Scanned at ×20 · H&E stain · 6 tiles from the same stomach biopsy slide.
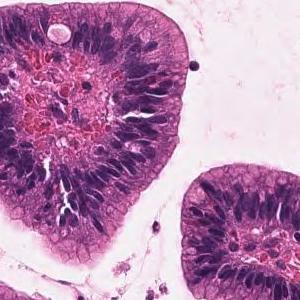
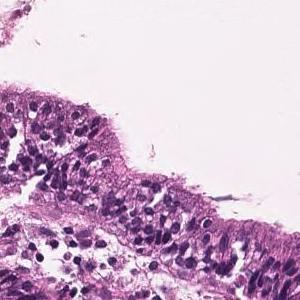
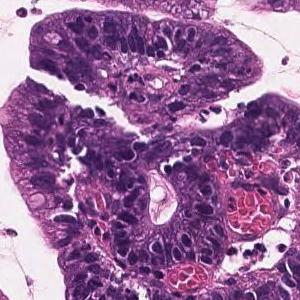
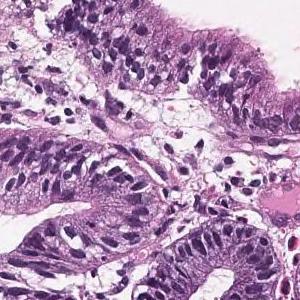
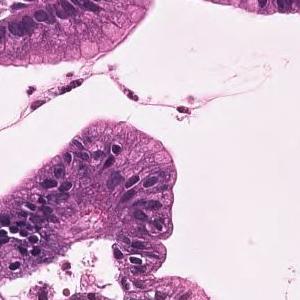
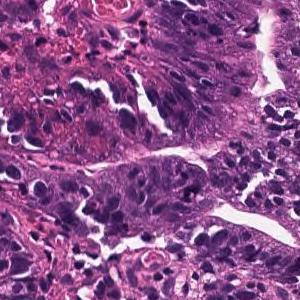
The pathologist's report on the biopsy slide these tiles were taken from. Both the report and the diagnosis are for the whole slide: these tiles need not show every feature named, and some of the tissue shown may not be tumor.
On the superficial epithelium, tumor tissue that infiltrates by forming medium-sized papillary or small irregular ducts is observed. Papillary adenocarcinoma
